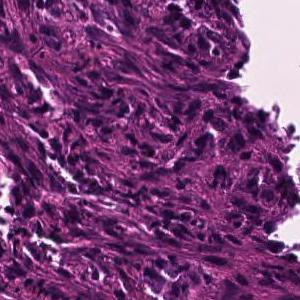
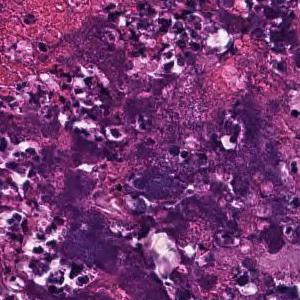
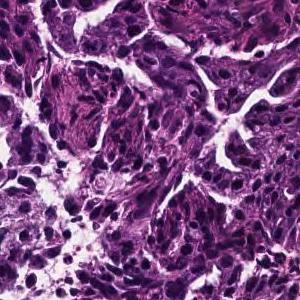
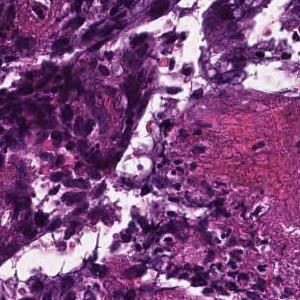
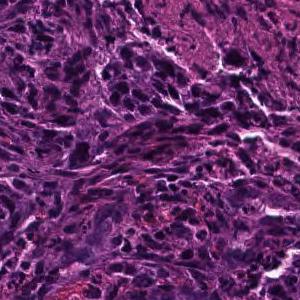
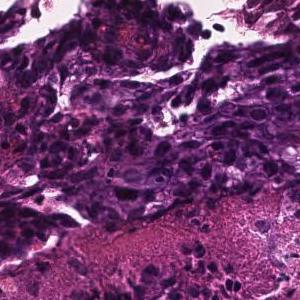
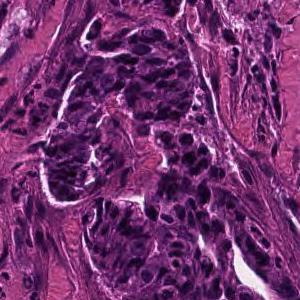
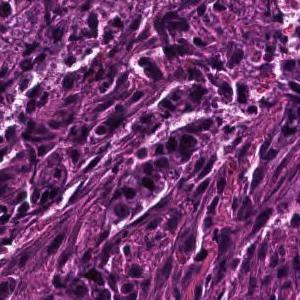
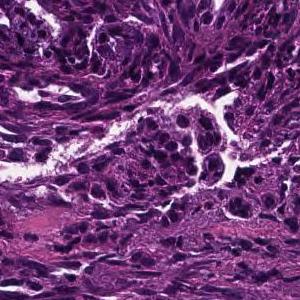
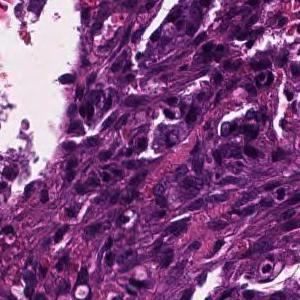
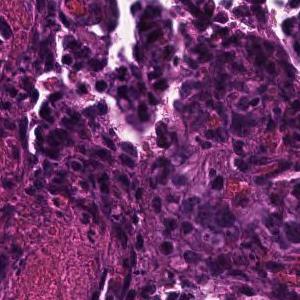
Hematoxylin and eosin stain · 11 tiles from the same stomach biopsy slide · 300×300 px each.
Report on the slide these tiles come from. What the report and the diagnosis say applies to the whole slide; these tiles may miss some of the features named and may include tissue that is not tumor.
Tumor tissue consisting of medium-sized, cord-like or irregular glandular infiltration is observed in the superficial epithelium. Poorly differentiated adenocarcinoma, non-solid type or moderately differentiated tubular adenocarcinoma
Histological subtype: Moderately to poorly differentiated adenocarcinoma.
"Non-solid type" is a category of the Japanese Classification of Gastric Carcinoma.
